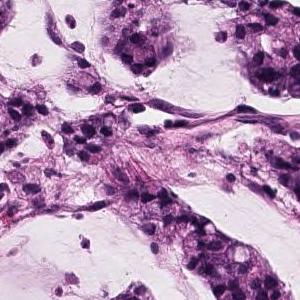
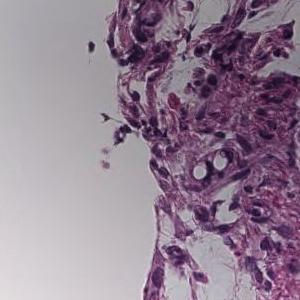
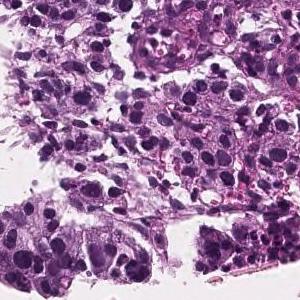
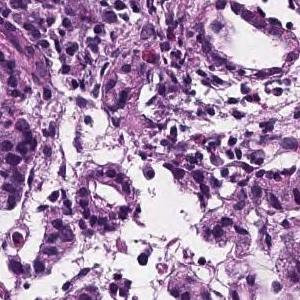
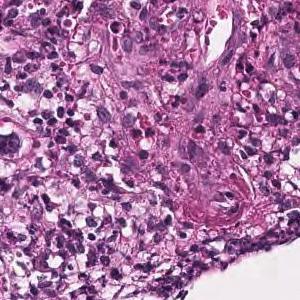
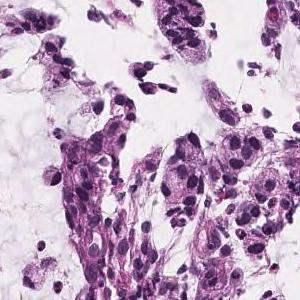
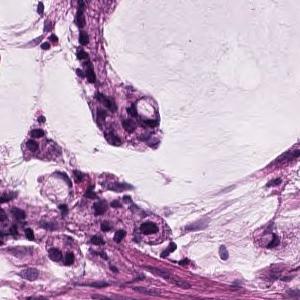
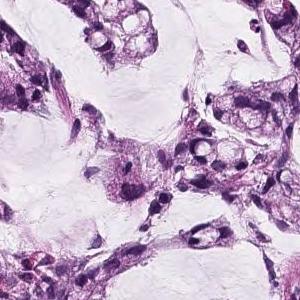
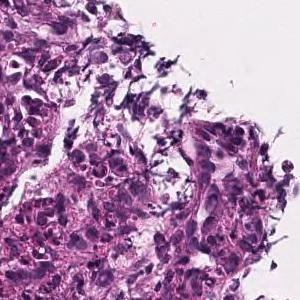
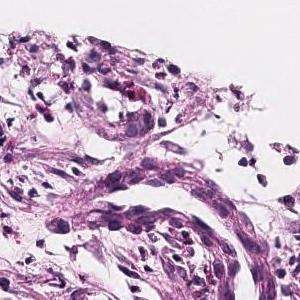
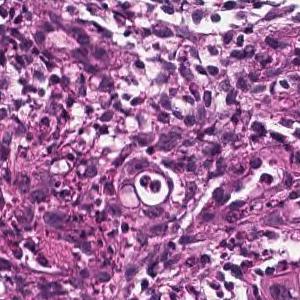
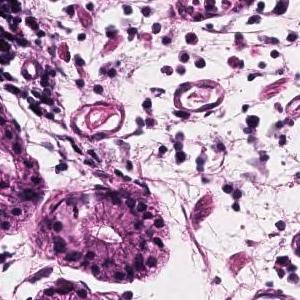
12 tiles cut from one stomach biopsy slide, H&E stain.
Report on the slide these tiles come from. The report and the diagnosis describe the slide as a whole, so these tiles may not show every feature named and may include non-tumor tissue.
Atypical epithelial cells form obscure ductal structures or small solid follicles, and tumor tissue that proliferates invasively with proliferation of inflammatory granulation tissue is observed. Mucinous adenocarcinoma .
